6 tiles cut from one stomach biopsy slide, 300×300 px each.
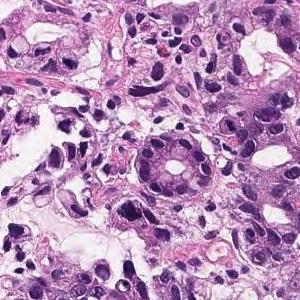
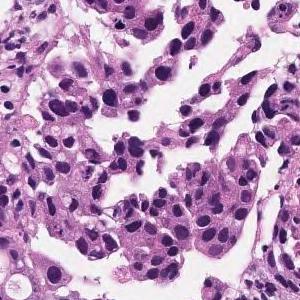
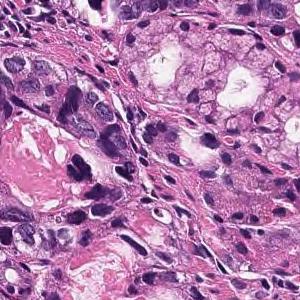
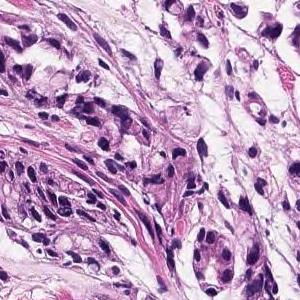
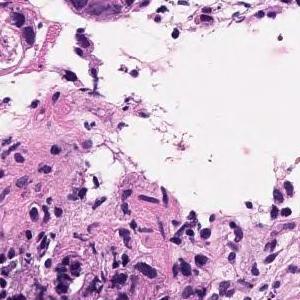
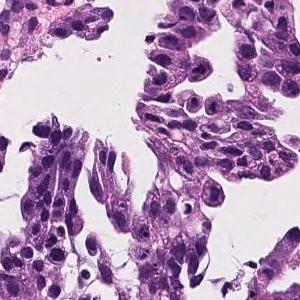
Pathology report for the biopsy slide these tiles were cut from. The findings and the diagnosis refer to the entire slide; these tiles show only part of it, possibly with non-tumor tissue, and may not show every feature named.
In the superficial epithelium, tumor tissue that invades by forming medium-sized to small, irregular ducts is observed. Moderately differentiated adenocarcinoma.
Tumor subtype: moderately differentiated tubular adenocarcinoma.
